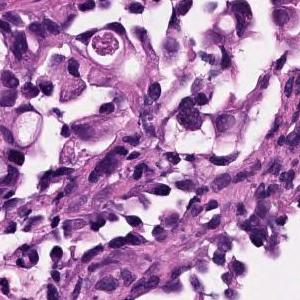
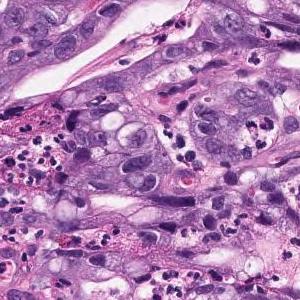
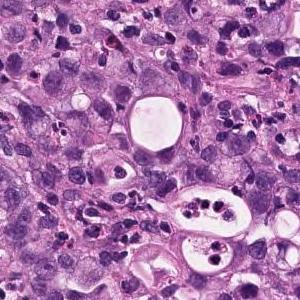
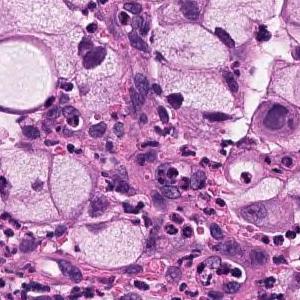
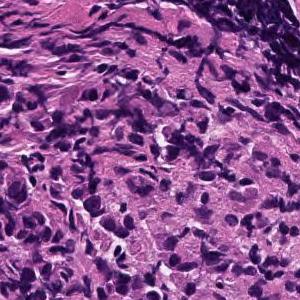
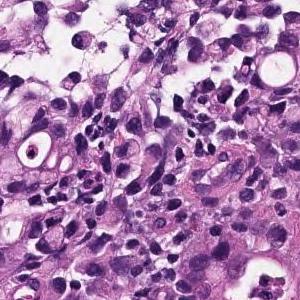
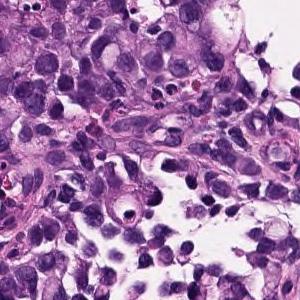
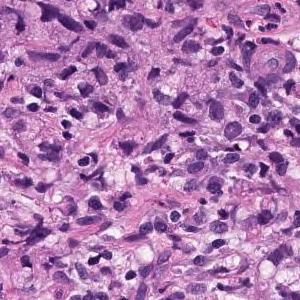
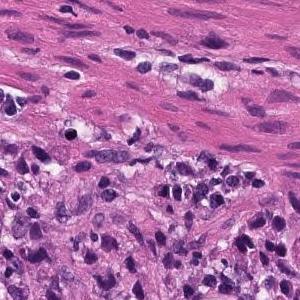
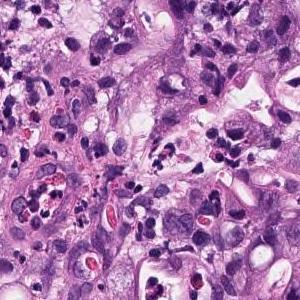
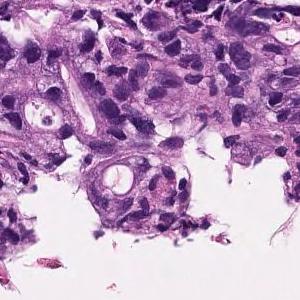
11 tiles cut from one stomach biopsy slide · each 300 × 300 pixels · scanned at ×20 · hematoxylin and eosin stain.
The pathologist's report on the biopsy slide these tiles were taken from. Both the report and the diagnosis are for the whole slide: these tiles need not show every feature named, and some of the tissue shown may not be tumor.
Atypical epithelium forms irregularly fused gland ducts and proliferates. Poorly differentiated adenocarcinoma.
Classified as poorly differentiated adenocarcinoma, non-solid type.
The non-solid type named here is a Japanese Classification of Gastric Carcinoma category.
